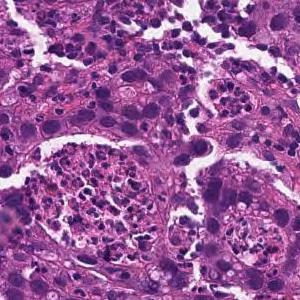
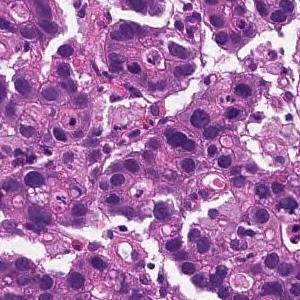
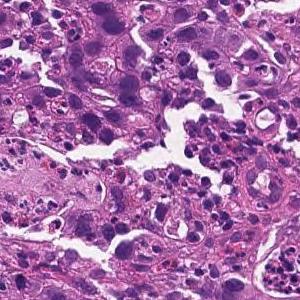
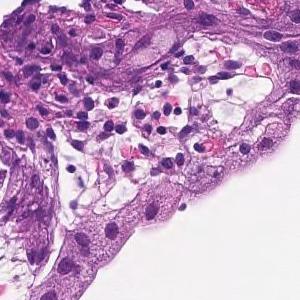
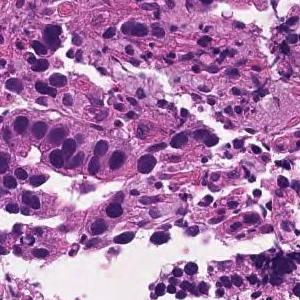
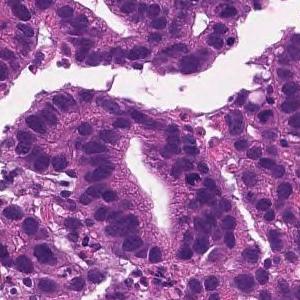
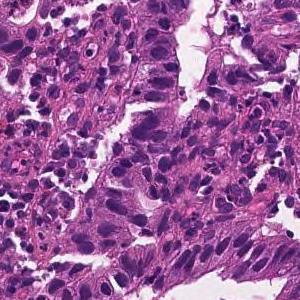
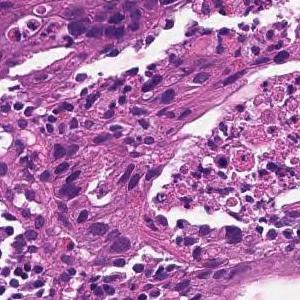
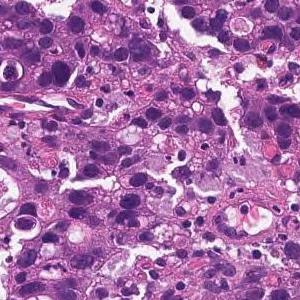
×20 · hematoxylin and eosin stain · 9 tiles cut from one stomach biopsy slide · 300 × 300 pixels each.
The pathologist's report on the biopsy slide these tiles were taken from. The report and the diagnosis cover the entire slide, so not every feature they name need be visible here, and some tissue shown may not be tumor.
Medium to small, irregular glandular ducts are formed in the superficial epithelium, and in some cases, the glandular ducts are fused to show solid alveolar lesions and infiltrating tumor tissue is observed. Moderately to poorly differentiated adenocarcinoma.
